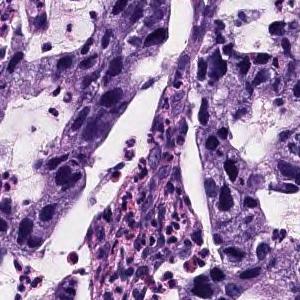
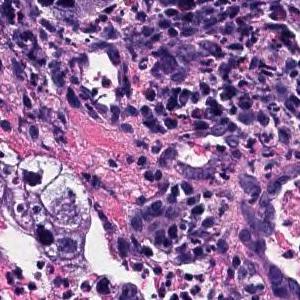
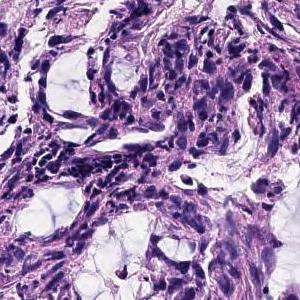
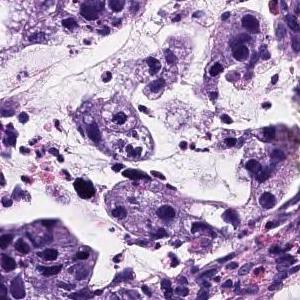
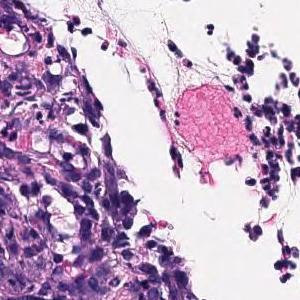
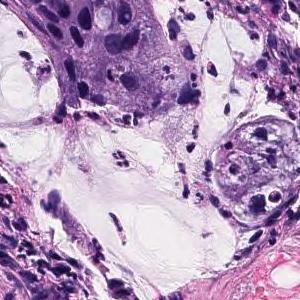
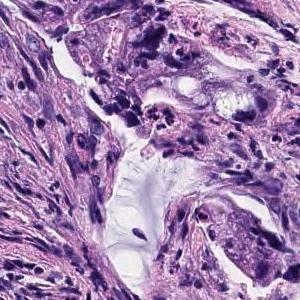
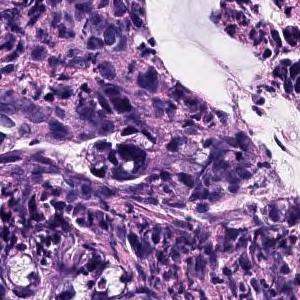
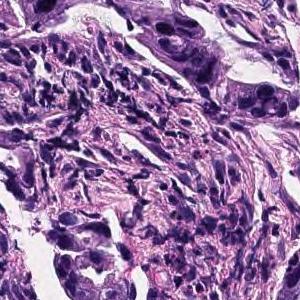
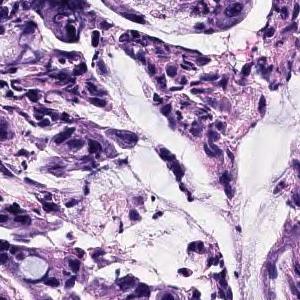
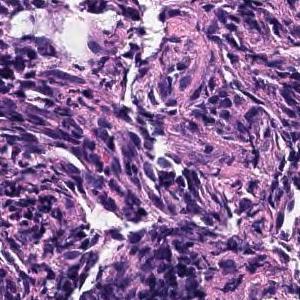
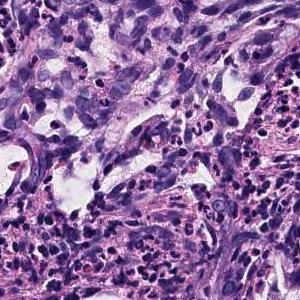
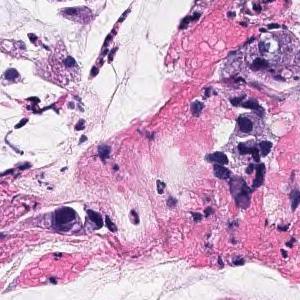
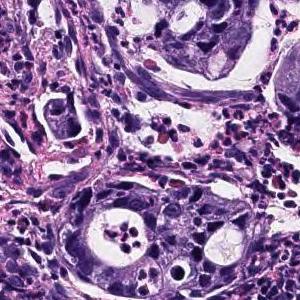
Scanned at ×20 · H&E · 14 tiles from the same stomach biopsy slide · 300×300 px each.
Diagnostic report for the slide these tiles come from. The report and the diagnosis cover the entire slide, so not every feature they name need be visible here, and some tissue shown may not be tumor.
The superficial epithelium shows small cord-like infiltrating tumor tissue. Some part of neoplastic cells are signet ring cell type which show single invasion manner. Poorly differentiated adenocarcinoma, non-solid type.
The term "non-solid type" comes from the Japanese Classification of Gastric Carcinoma.
